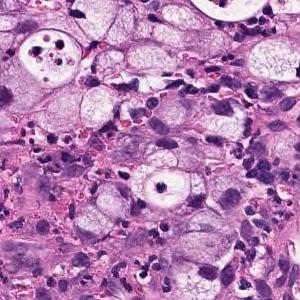
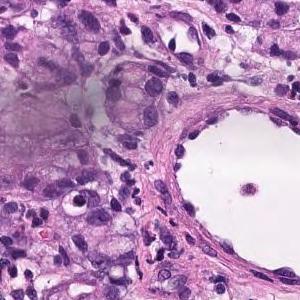
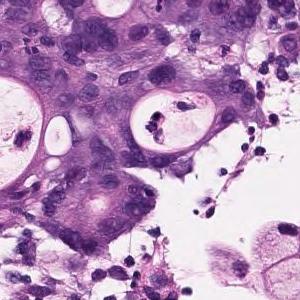
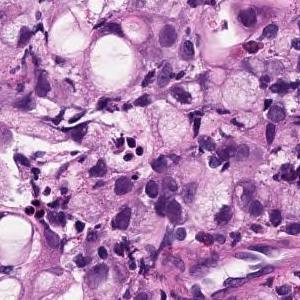
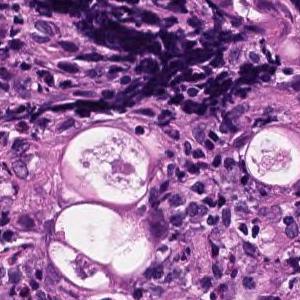
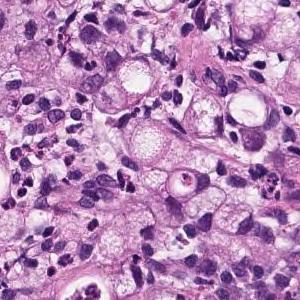
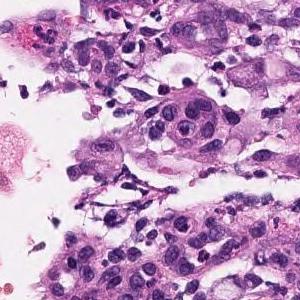
Hematoxylin and eosin stain, 20× magnification, 7 tiles from the same stomach biopsy slide, each 300 × 300 pixels.
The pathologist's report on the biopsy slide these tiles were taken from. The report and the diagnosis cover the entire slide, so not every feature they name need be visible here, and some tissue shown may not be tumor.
Atypical epithelium forms irregularly fused gland ducts and proliferates. Poorly differentiated adenocarcinoma.
Classified as poorly differentiated adenocarcinoma, non-solid type.
The non-solid type named here is a Japanese Classification of Gastric Carcinoma category.
